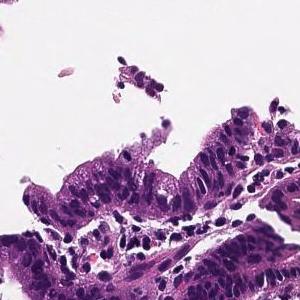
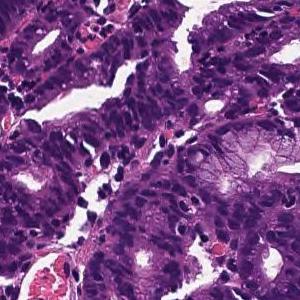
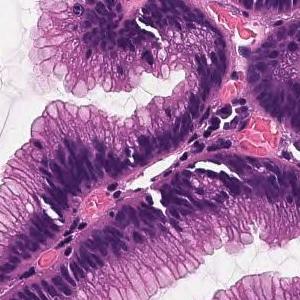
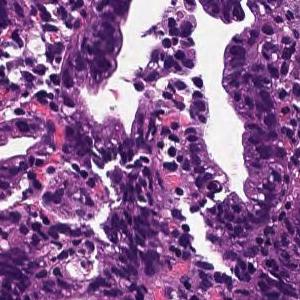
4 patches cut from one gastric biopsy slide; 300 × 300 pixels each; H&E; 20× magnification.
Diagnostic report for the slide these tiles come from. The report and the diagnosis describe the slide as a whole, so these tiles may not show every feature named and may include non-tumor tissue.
Cells with elliptical or atypical nuclei form dense ducts with relatively clear growth. Well differentiated tubular adenocarcinoma
